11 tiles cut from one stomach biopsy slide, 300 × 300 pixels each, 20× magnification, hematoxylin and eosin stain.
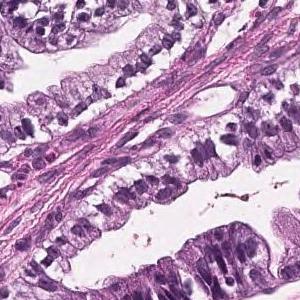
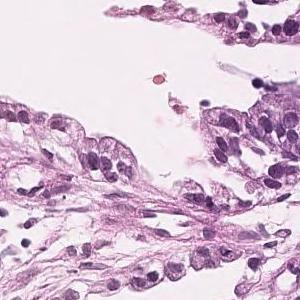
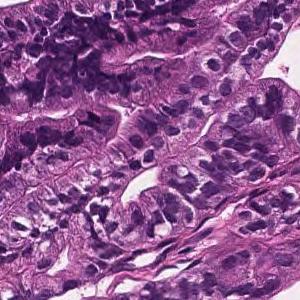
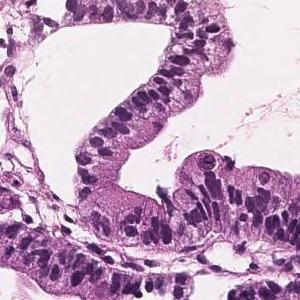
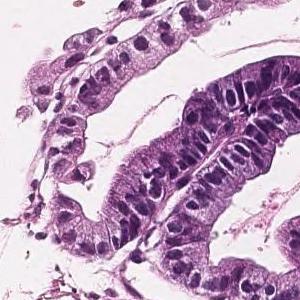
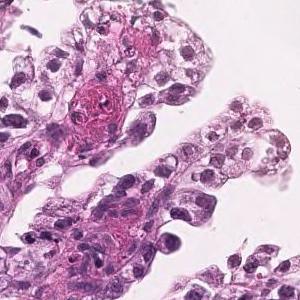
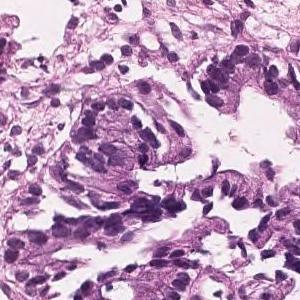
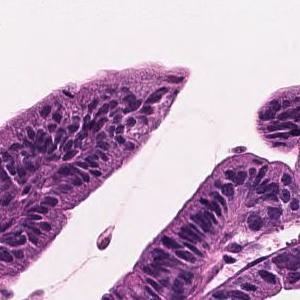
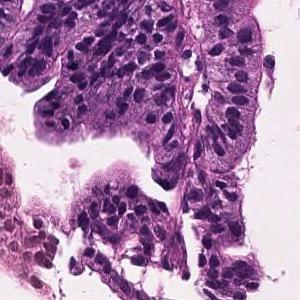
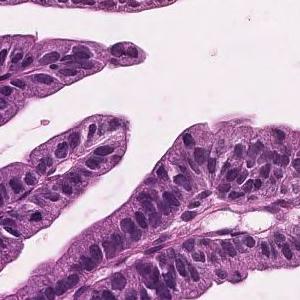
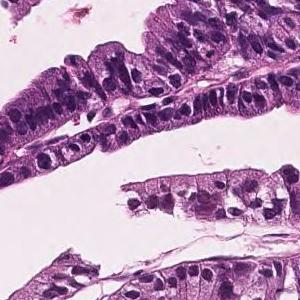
Report on the slide these tiles come from. The report and the diagnosis describe the slide as a whole, so these tiles may not show every feature named and may include non-tumor tissue.
Tumor cells are large, highly columnar, large club-shaped nuclei, and are associated with chromatin aggregation. Papillary adenocarcinoma.
